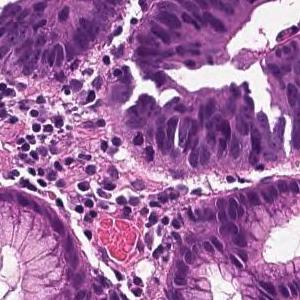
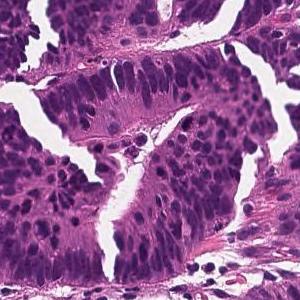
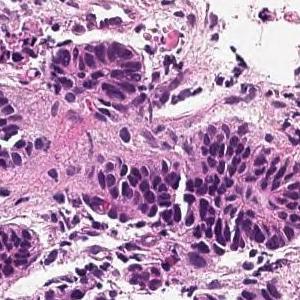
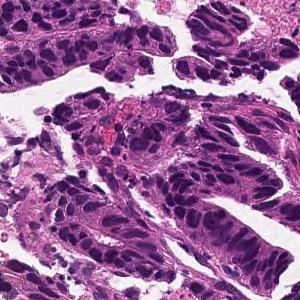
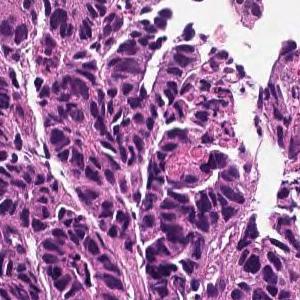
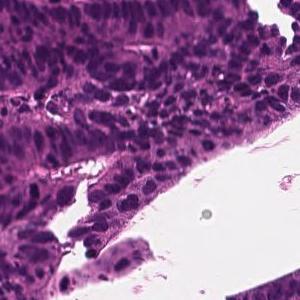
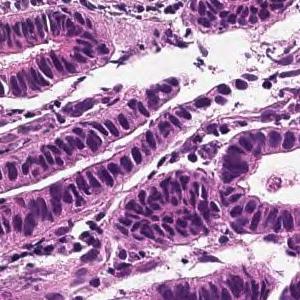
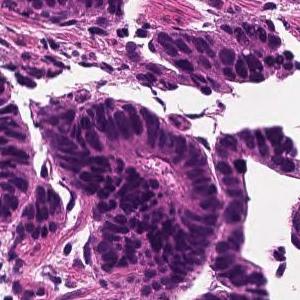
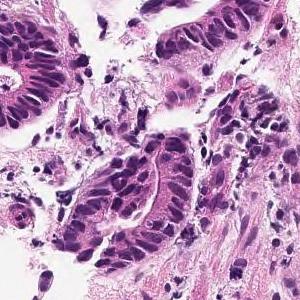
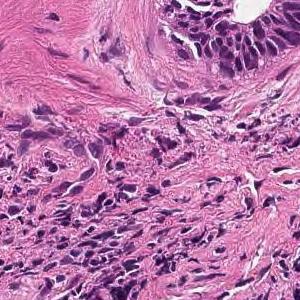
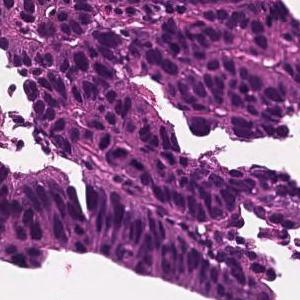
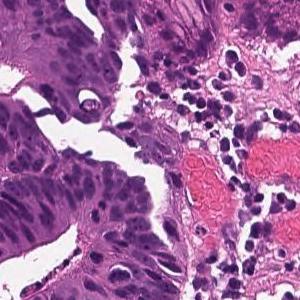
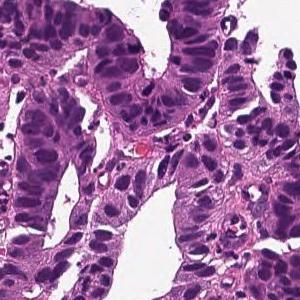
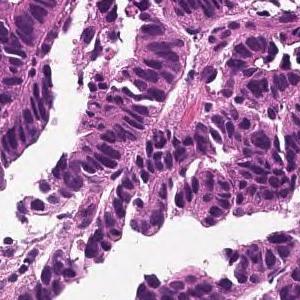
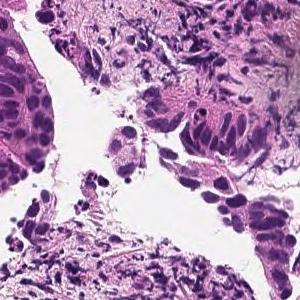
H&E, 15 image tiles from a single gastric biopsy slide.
The pathologist's report on the biopsy slide these tiles were taken from. The report describes the whole slide, diagnosis included: not every finding it names need appear in these tiles, which may also show non-tumor tissue.
From the superficial epithelium to the muscularis mucosae, tumor tissue consisting of medium-sized and irregular glandular ducts infiltrating is observed. Well differentiated tubular adenocarcinoma
